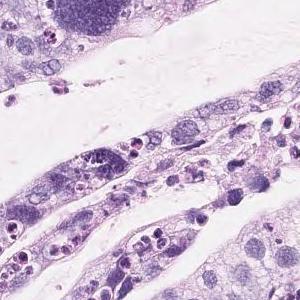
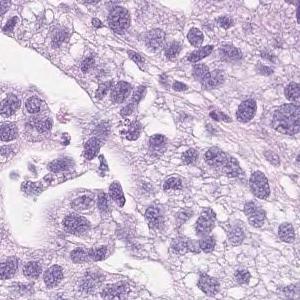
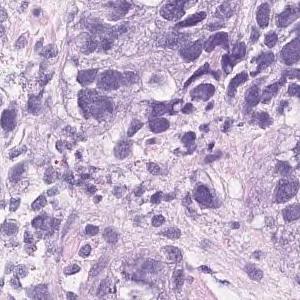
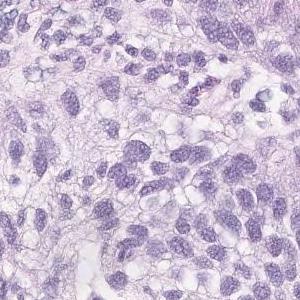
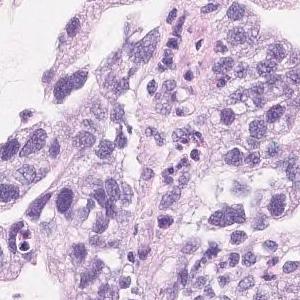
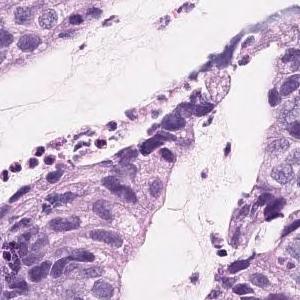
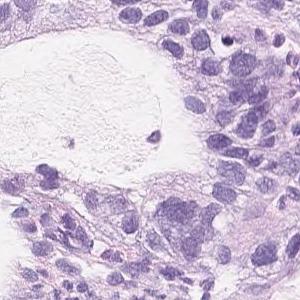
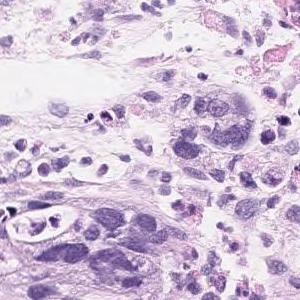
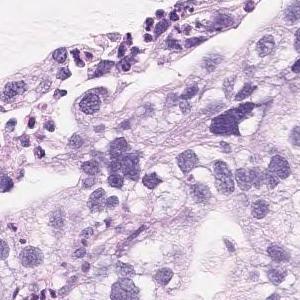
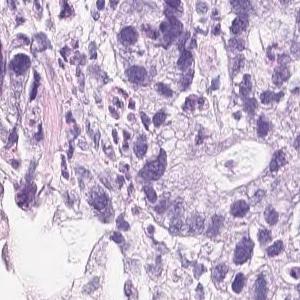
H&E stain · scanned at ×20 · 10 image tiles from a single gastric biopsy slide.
Pathology report for the biopsy slide these tiles were cut from. The report and the diagnosis cover the entire slide, so not every feature they name need be visible here, and some tissue shown may not be tumor.
On the superficial epithelium, tumor tissue consisting of large, irregular glandular ducts partially fused and infiltrated is observed. Well to moderately differentiated tubular adenocarcinoma (well differentiated tubular adenocarcinoma, moderately differentiated tubular adenocarcinoma)
Histologic type: Well to moderately differentiated tubular adenocarcinoma.
